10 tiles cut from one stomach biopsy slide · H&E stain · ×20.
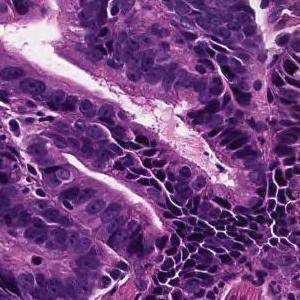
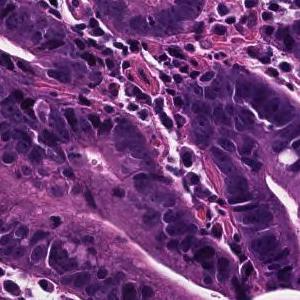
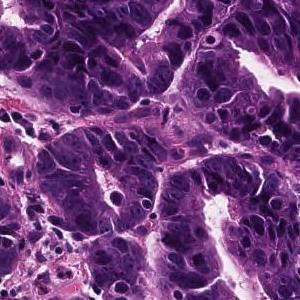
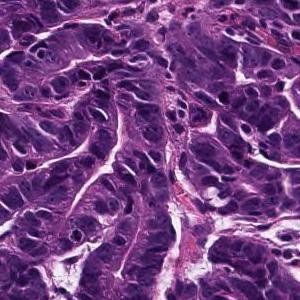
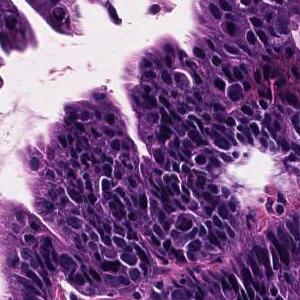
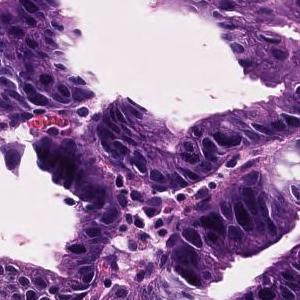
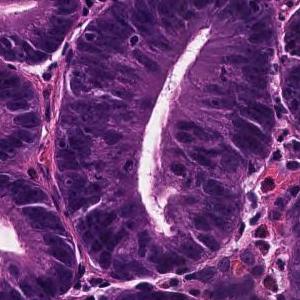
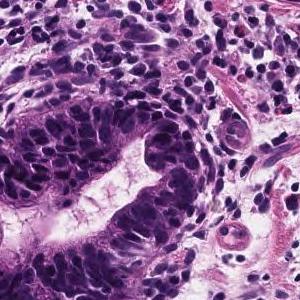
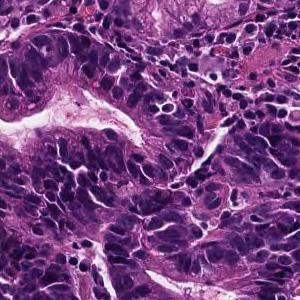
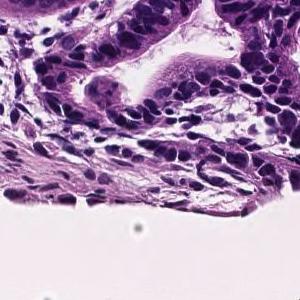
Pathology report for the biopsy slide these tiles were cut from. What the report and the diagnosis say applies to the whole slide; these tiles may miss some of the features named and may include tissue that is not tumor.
On the superficial epithelium, tumor tissue consisting of growth of medium-sized to large-sized, round or irregular glandular ducts is observed. Well differentiated tubular adenocarcinoma
